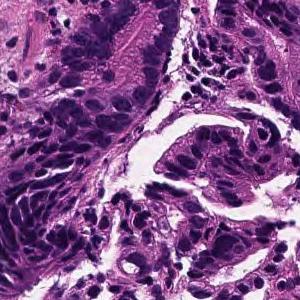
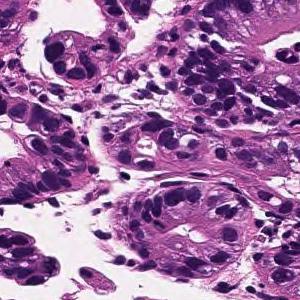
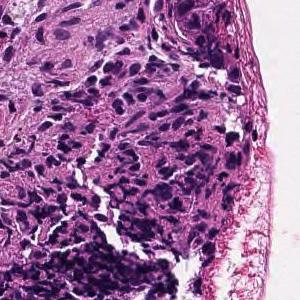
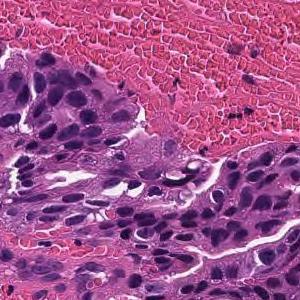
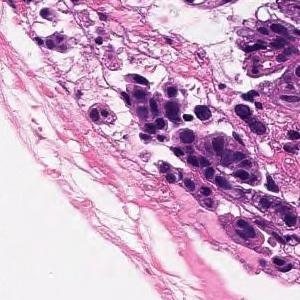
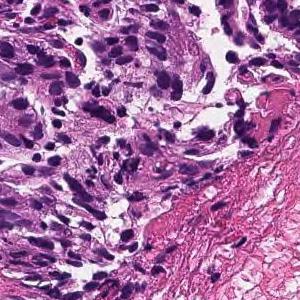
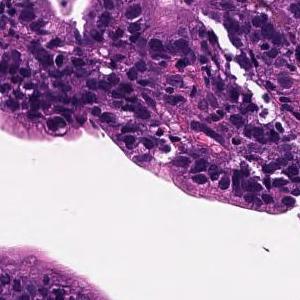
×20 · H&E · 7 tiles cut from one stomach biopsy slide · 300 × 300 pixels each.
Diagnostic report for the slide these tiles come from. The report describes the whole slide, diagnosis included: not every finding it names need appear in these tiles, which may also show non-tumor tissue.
From the superficial epithelium to the muscularis mucosae, tumor tissue consisting of medium-sized and irregular glandular ducts infiltrating is observed. Well differentiated tubular adenocarcinoma
